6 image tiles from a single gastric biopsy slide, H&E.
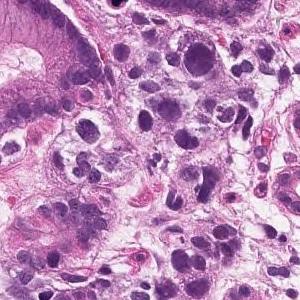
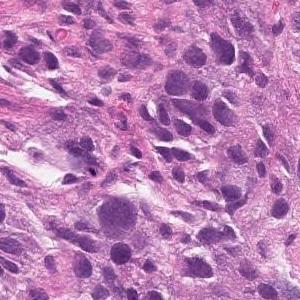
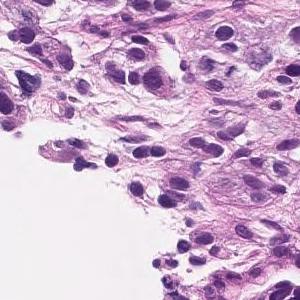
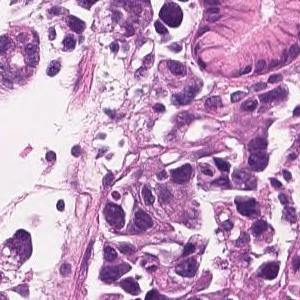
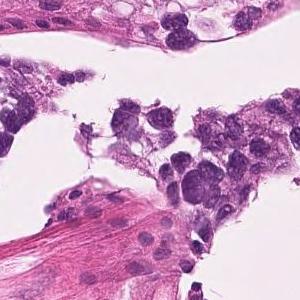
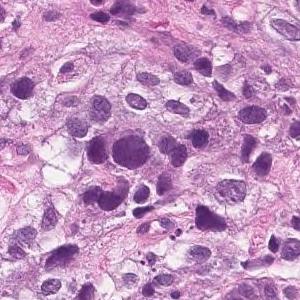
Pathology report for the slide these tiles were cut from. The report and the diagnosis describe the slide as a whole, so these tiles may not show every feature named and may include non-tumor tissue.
Tumor tissue that infiltrates the epithelium in an alveolar manner. Poorly differentiated adenocarcinoma, solid-type
Classified as poorly differentiated adenocarcinoma, solid type, a category of the Japanese Classification of Gastric Carcinoma; in the WHO 2019 classification it is tubular adenocarcinoma, poorly differentiated.
